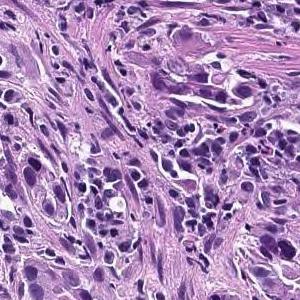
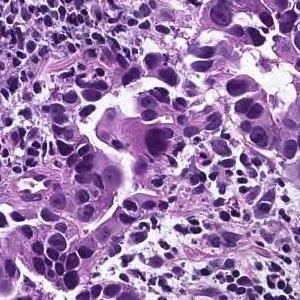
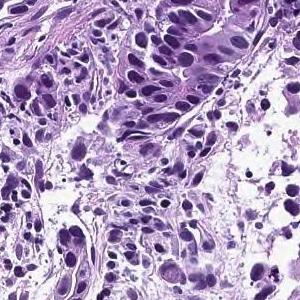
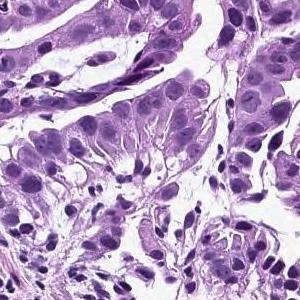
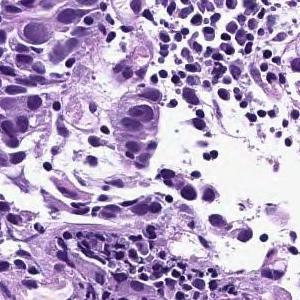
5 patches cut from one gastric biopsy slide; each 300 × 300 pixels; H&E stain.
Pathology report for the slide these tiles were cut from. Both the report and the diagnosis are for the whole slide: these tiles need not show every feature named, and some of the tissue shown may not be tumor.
In the superficial epithelium, tumor tissue that invades by forming medium-sized to small, irregular ducts is observed. moderately differentiated tubular adenocarcinoma.
